Hematoxylin and eosin stain, ×20, 16 tiles from the same stomach biopsy slide.
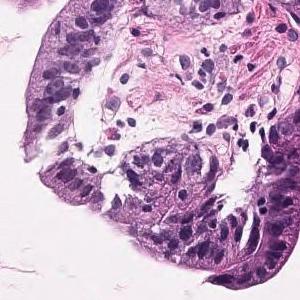
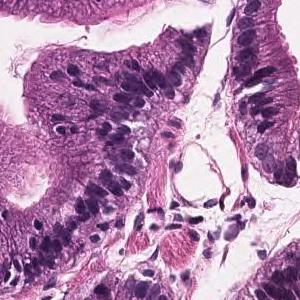
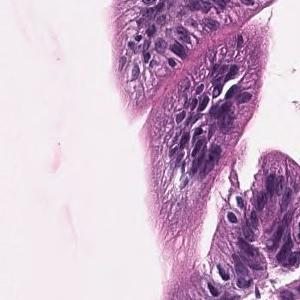
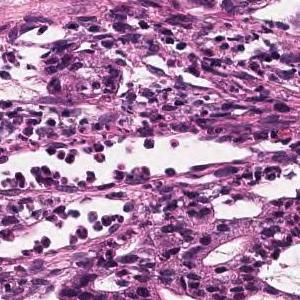
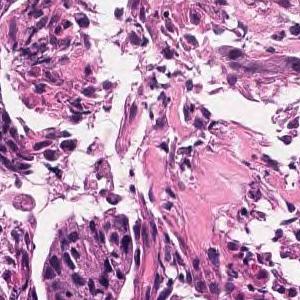
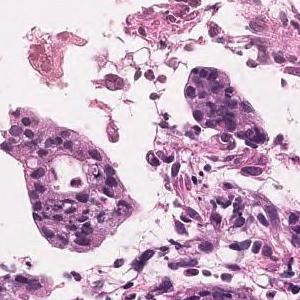
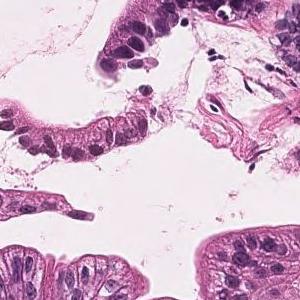
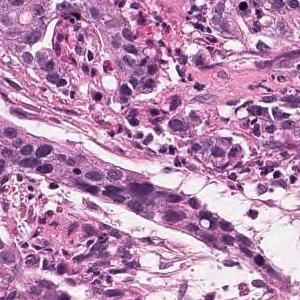
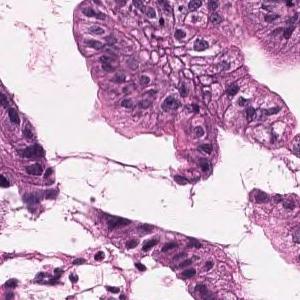
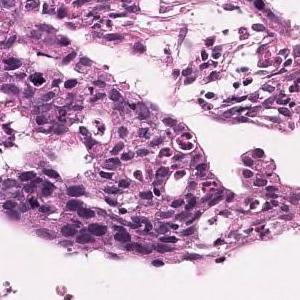
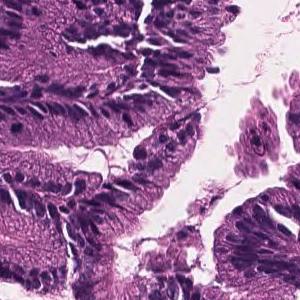
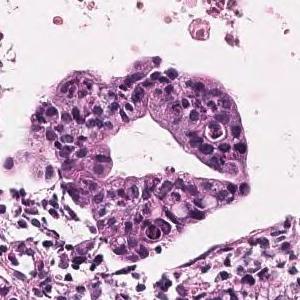
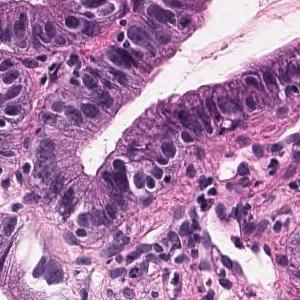
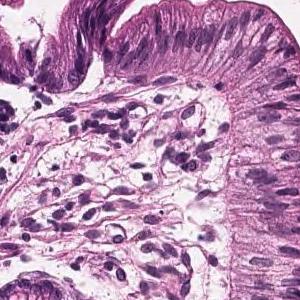
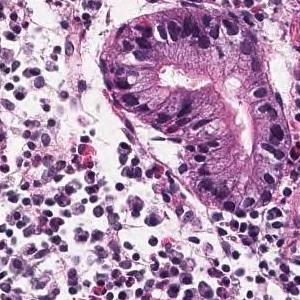
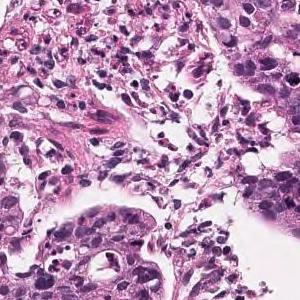
The pathologist's report on the biopsy slide these tiles were taken from. The findings and the diagnosis refer to the entire slide; these tiles show only part of it, possibly with non-tumor tissue, and may not show every feature named.
Tumor tissue that grows invasively while the short atypical epithelium forms small ducts is observed. moderately differentiated tubular adenocarcinoma
